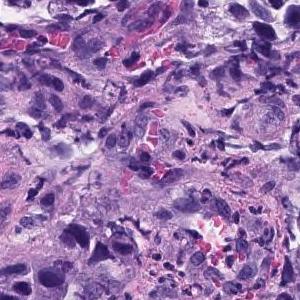
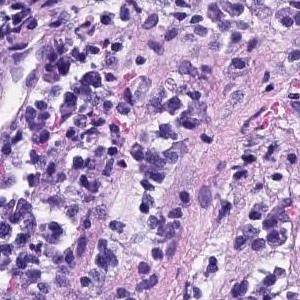
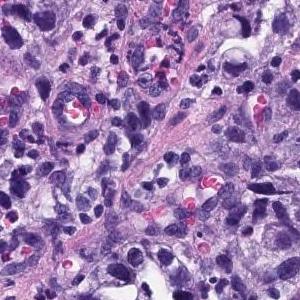
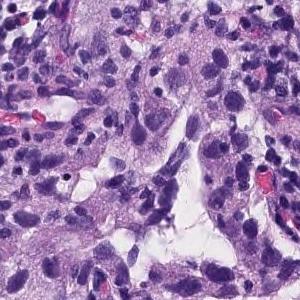
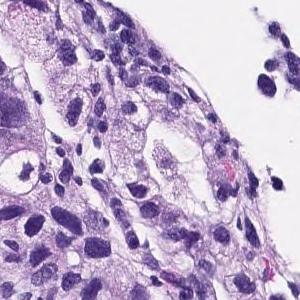
5 patches cut from one gastric biopsy slide, 20× magnification.
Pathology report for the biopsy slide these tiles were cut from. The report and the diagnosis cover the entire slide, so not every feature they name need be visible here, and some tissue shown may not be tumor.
Medium to small, irregular glandular ducts are formed in the superficial epithelium, and in some cases, the glandular ducts are fused to show solid alveolar lesions and infiltrating tumor tissue is observed. Poorly differentiated adenocarcinoma, Moderately differentiated adenocarcinoma.
The dataset labels this slide moderately differentiated tubular adenocarcinoma.
